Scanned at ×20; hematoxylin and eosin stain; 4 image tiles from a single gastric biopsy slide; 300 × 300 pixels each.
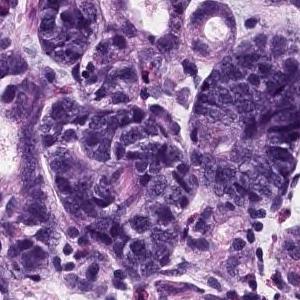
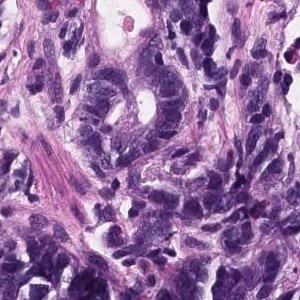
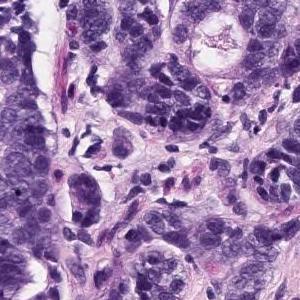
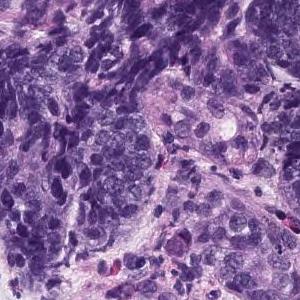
Report on the slide these tiles come from. The report and the diagnosis cover the entire slide, so not every feature they name need be visible here, and some tissue shown may not be tumor.
Group 5, Adenocarcinoma. Moderately to poorly differentiated adenocarcinoma
